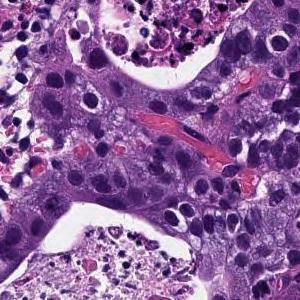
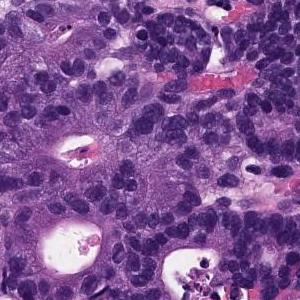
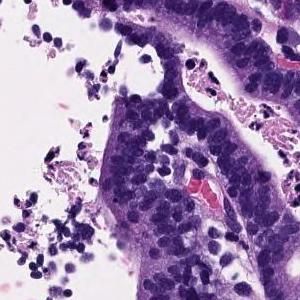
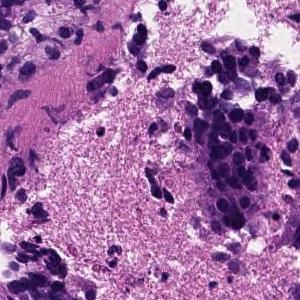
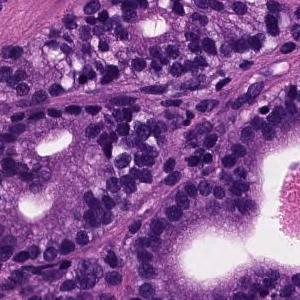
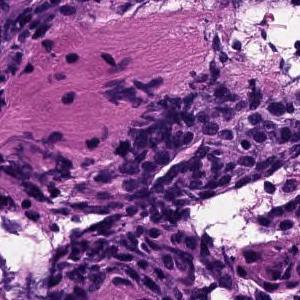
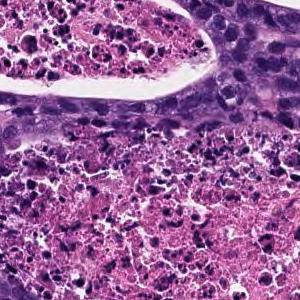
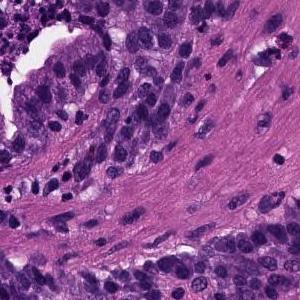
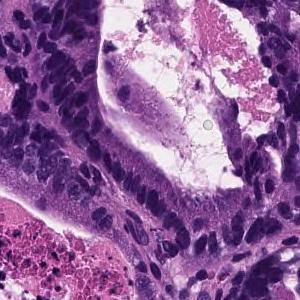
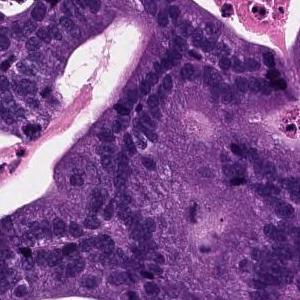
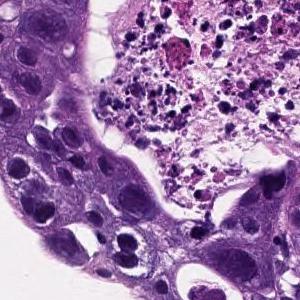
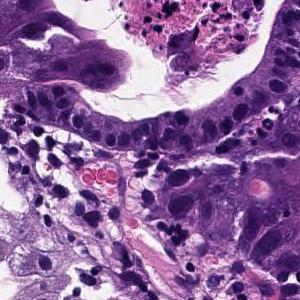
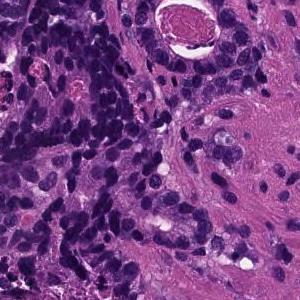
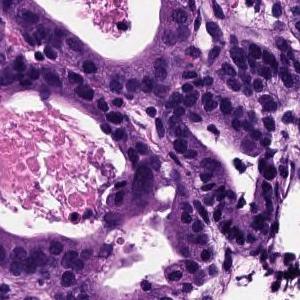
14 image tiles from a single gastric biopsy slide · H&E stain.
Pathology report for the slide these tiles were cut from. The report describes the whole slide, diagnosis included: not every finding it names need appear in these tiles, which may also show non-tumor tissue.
From the superficial epithelium to the muscularis mucosae, tumor tissue consisting of medium-sized and irregular glandular ducts infiltrating is observed. Well differentiated tubular adenocarcinoma
